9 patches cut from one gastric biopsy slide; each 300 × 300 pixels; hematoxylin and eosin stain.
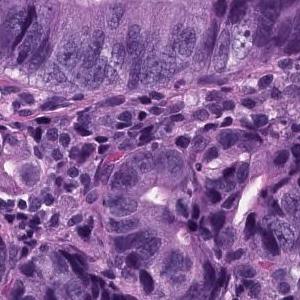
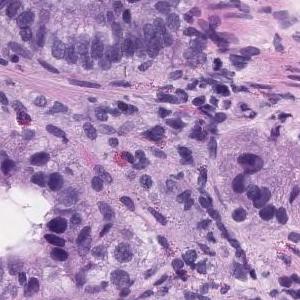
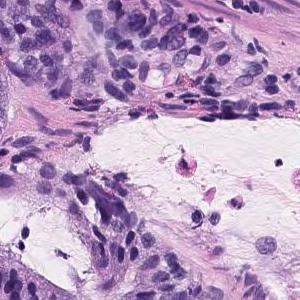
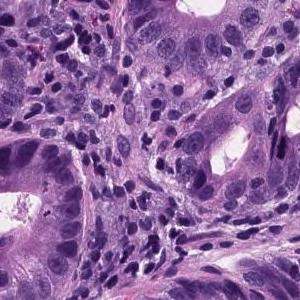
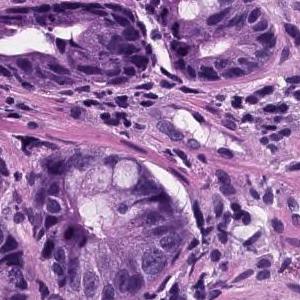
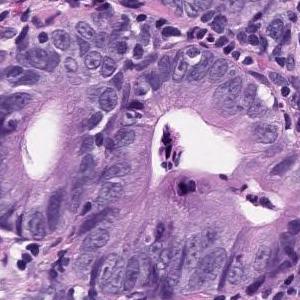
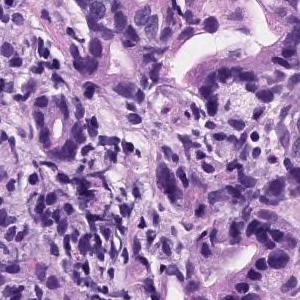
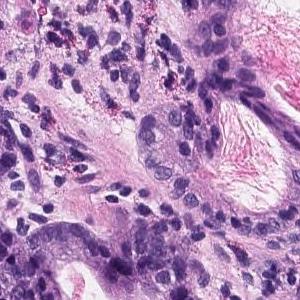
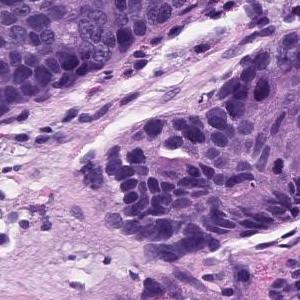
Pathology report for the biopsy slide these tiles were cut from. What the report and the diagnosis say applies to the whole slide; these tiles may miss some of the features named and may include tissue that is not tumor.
Tumor tissue consisting of medium-sized and irregular ducts is observed infiltrating in the superficial epithelium. Tumor cells are highly columnar, with nuclei aligned basolaterally and polarized. Well differentiated tubular adenocarcinoma.
